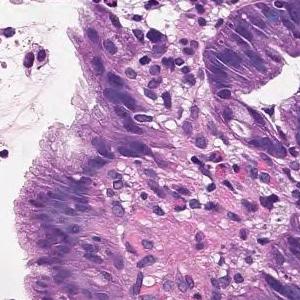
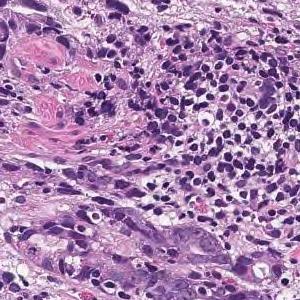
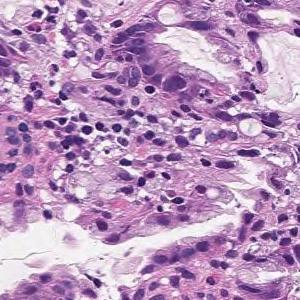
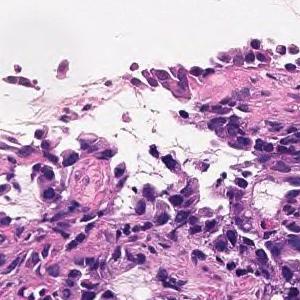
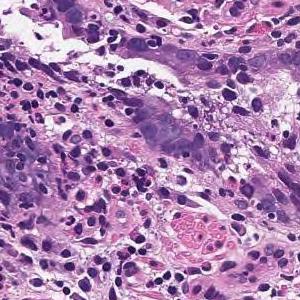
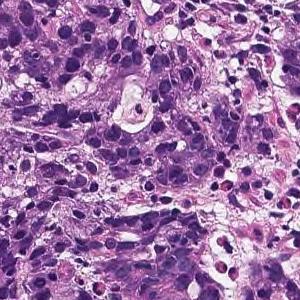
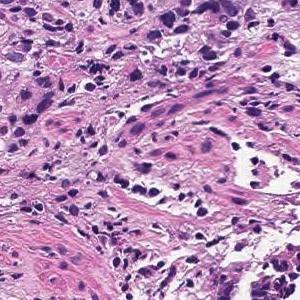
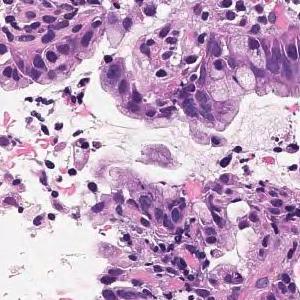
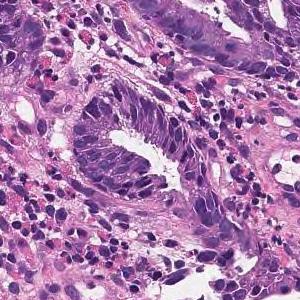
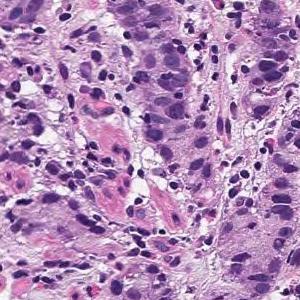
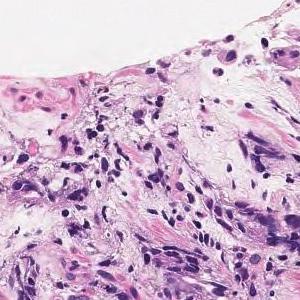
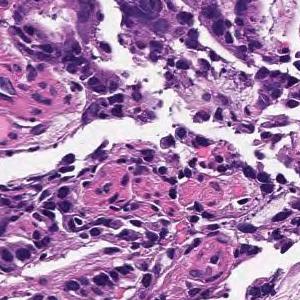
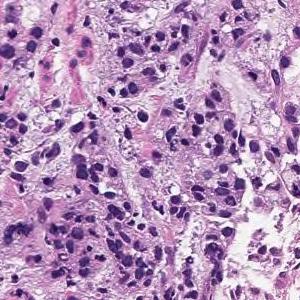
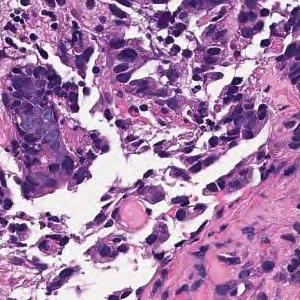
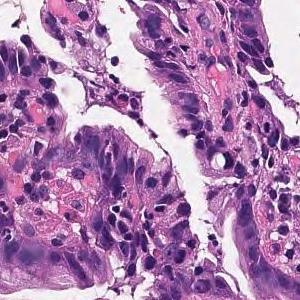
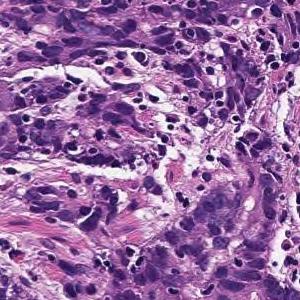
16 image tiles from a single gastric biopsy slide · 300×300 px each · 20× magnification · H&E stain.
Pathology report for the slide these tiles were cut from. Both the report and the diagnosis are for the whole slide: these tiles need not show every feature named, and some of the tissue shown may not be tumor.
Tumor tissue consisting of cord-like or small, irregular glandular ducts fused and infiltrated is observed in the superficial epithelium. Poorly differentiated adenocarcinoma, non-solid type
The term "non-solid type" comes from the Japanese Classification of Gastric Carcinoma.
